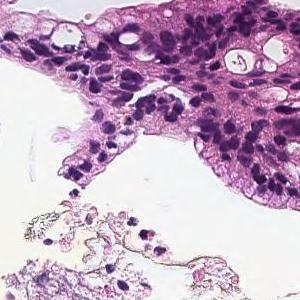
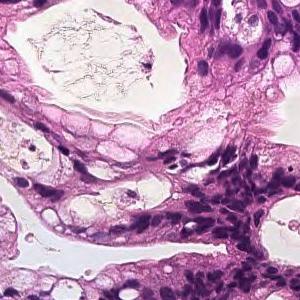
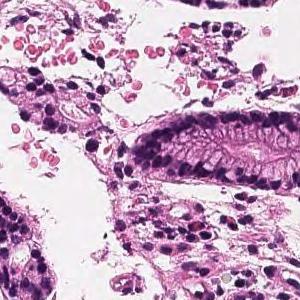
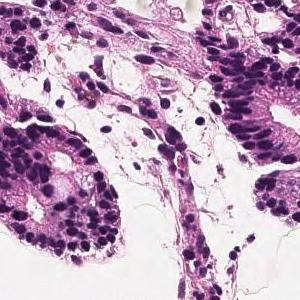
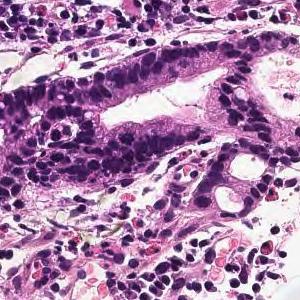
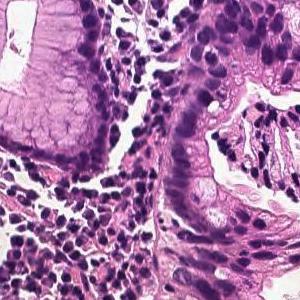
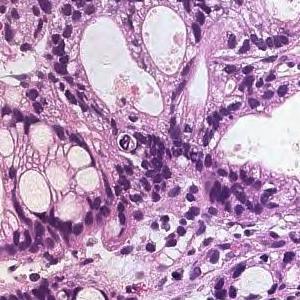
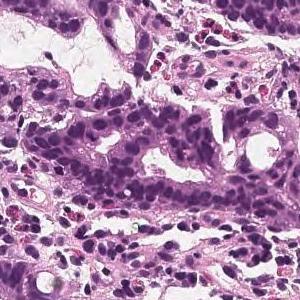
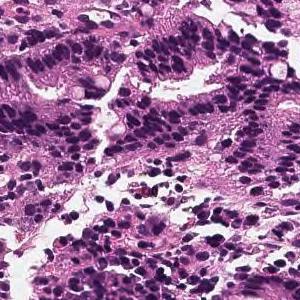
Hematoxylin and eosin stain, 9 patches cut from one gastric biopsy slide.
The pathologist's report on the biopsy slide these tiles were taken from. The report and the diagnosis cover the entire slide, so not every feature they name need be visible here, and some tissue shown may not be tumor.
In the superficial epithelium, tumor tissue that invades by forming medium-sized to small, irregular ducts is observed. moderately differentiated tubular adenocarcinoma.
